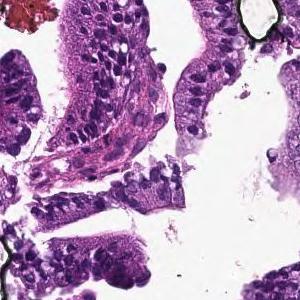
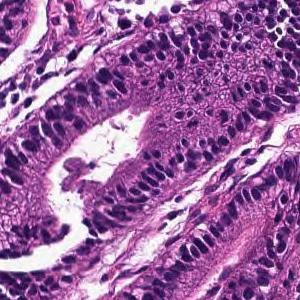
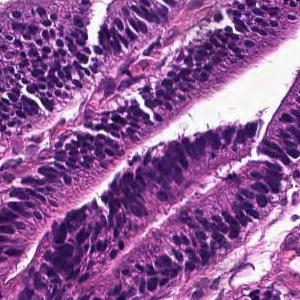
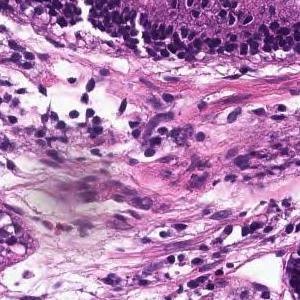
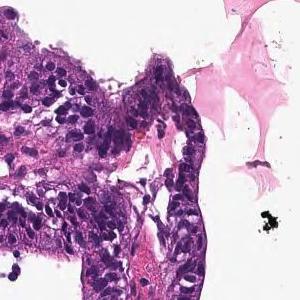
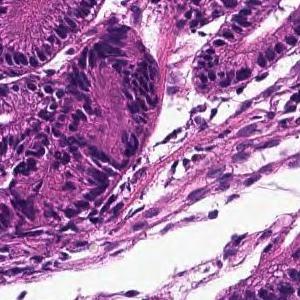
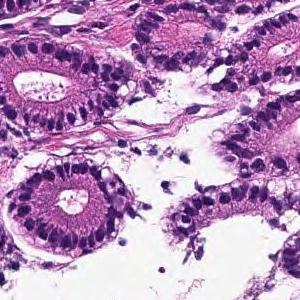
7 tiles from the same stomach biopsy slide, 300×300 px each, H&E stain, 20× magnification.
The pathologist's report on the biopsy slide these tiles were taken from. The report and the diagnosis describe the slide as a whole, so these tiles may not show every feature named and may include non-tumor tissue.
On the superficial epithelium, tumor tissue that infiltrates by forming medium-sized round or small irregular ducts is observed. Papillary adenocarcinoma
